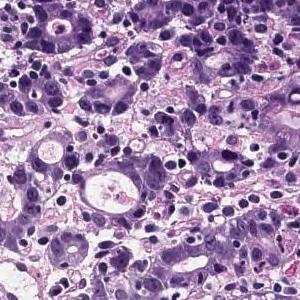
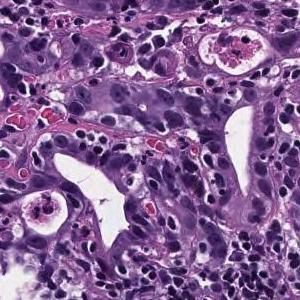
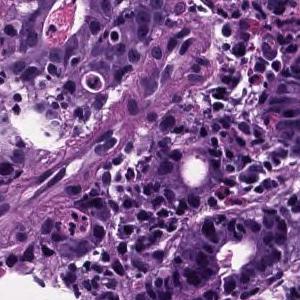
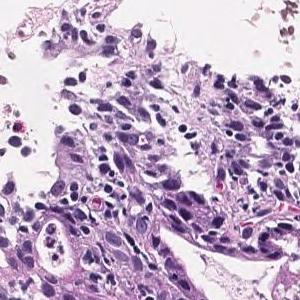
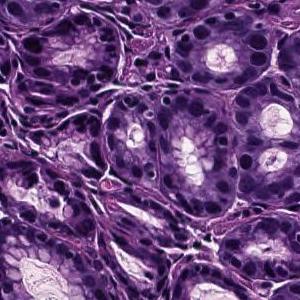
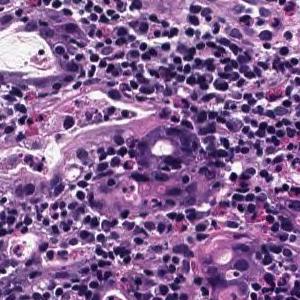
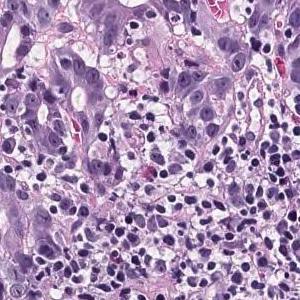
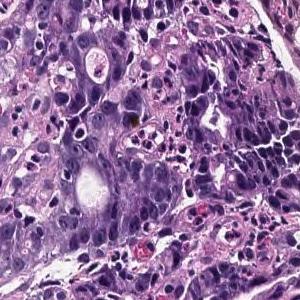
H&E stain, 8 tiles cut from one stomach biopsy slide, 300 × 300 pixels each.
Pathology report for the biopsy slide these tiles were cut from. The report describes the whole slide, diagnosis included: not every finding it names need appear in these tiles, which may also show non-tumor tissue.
In the superficial epithelium, tumor tissue that invades by forming medium-sized to small, irregular ducts is observed. moderately differentiated tubular adenocarcinoma.
